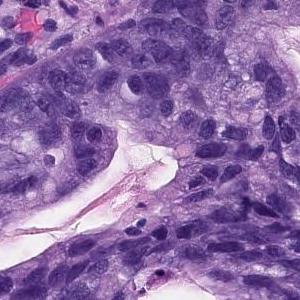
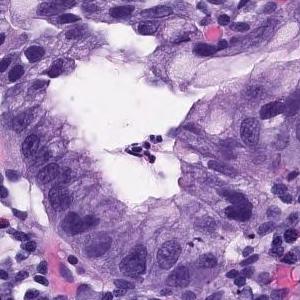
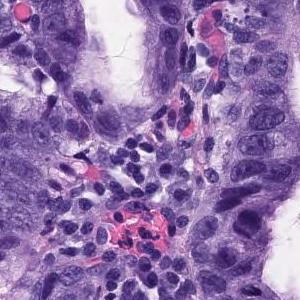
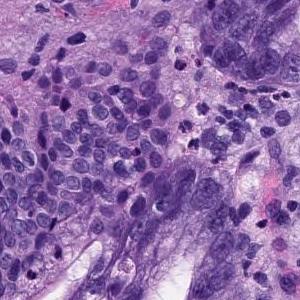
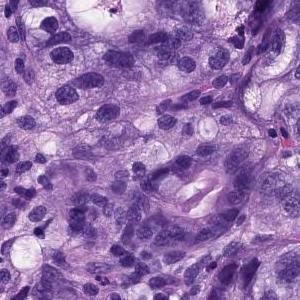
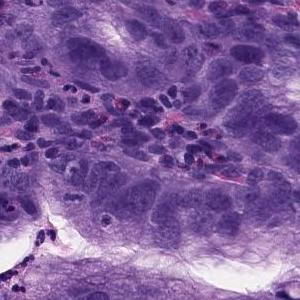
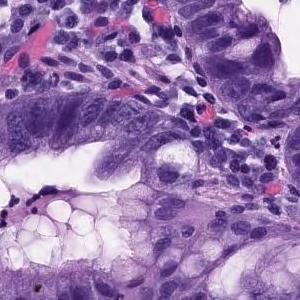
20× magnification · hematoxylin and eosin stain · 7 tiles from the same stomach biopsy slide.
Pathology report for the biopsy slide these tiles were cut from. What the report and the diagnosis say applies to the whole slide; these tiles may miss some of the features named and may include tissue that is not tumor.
There are large atypical epithelial cells infiltrating and proliferating while forming atypical glandular cavities showing a fusion tendency. Moderately differentiated tubular adenocarcinoma.
